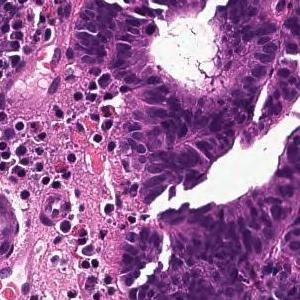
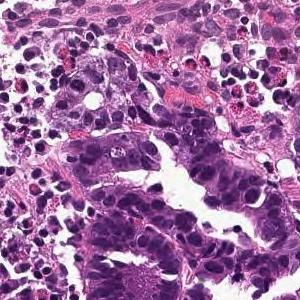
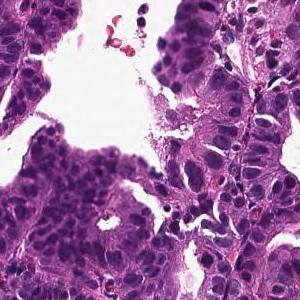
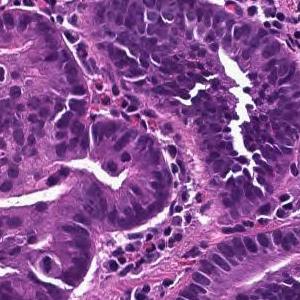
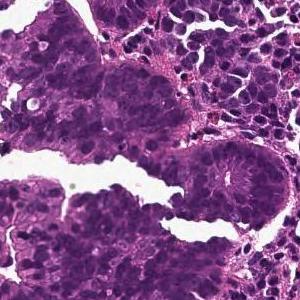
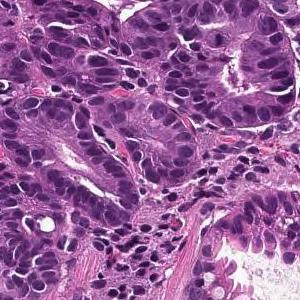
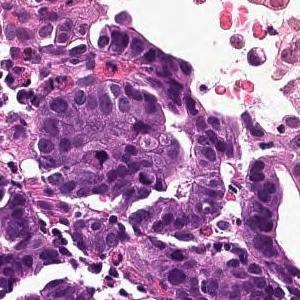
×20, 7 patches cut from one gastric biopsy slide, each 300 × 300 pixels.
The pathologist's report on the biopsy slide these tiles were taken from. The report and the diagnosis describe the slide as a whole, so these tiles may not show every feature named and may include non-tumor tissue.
Tumor cells are large, highly columnar, large club-shaped nuclei, and are associated with chromatin aggregation. Papillary adenocarcinoma.
